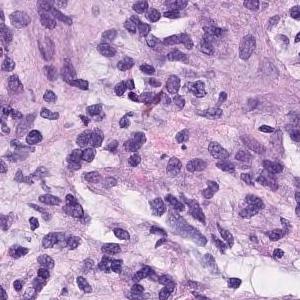
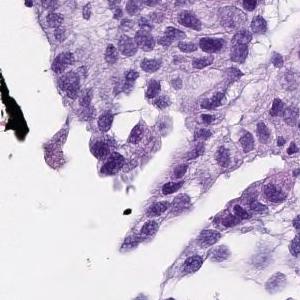
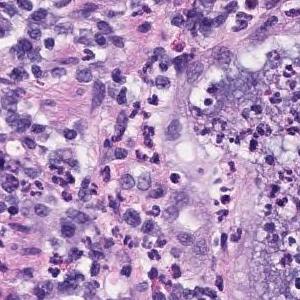
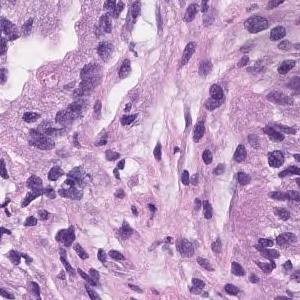
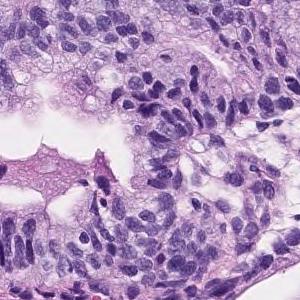
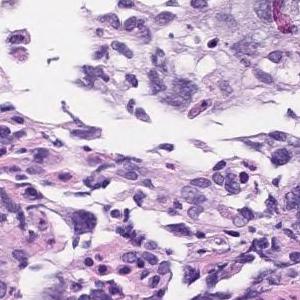
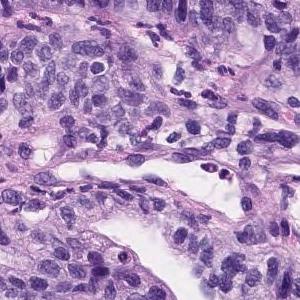
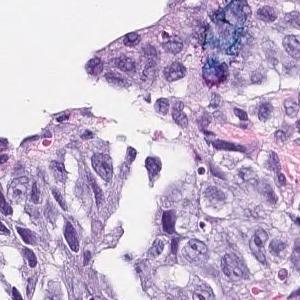
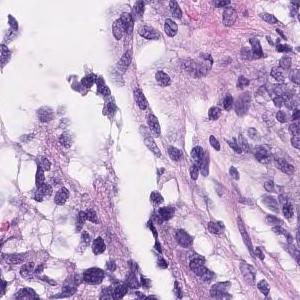
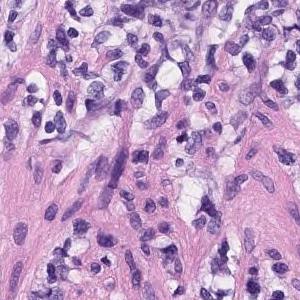
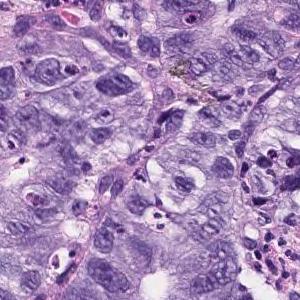
Hematoxylin and eosin stain · 11 image tiles from a single gastric biopsy slide.
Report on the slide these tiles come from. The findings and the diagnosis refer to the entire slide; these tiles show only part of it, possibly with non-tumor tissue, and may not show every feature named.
Tumor cells are large, highly columnar, large club-shaped nuclei, and are associated with chromatin aggregation. Papillary adenocarcinoma.
